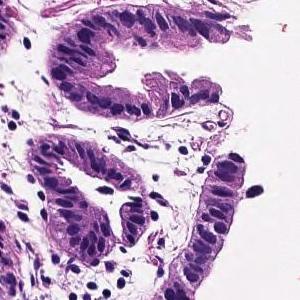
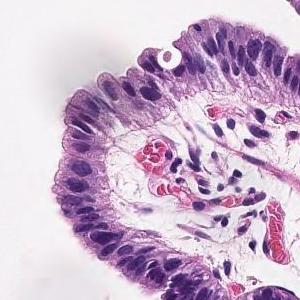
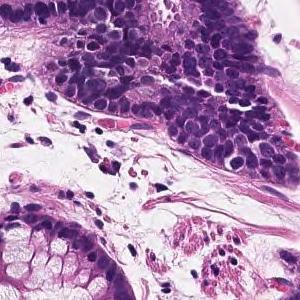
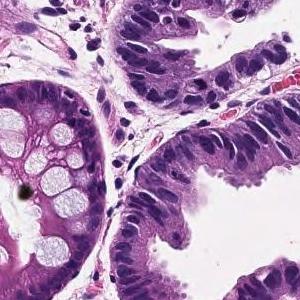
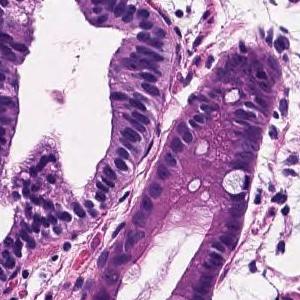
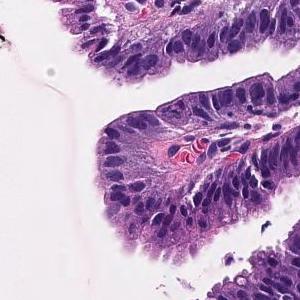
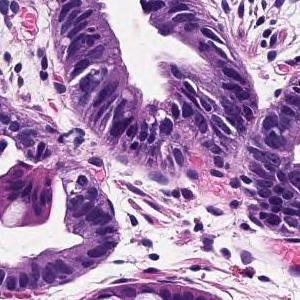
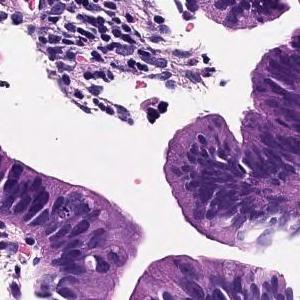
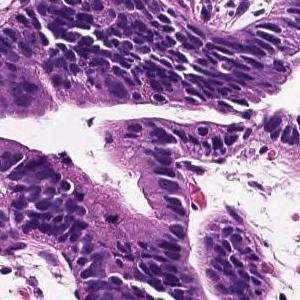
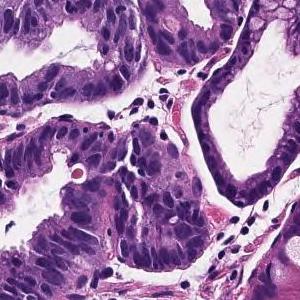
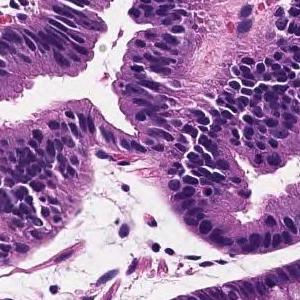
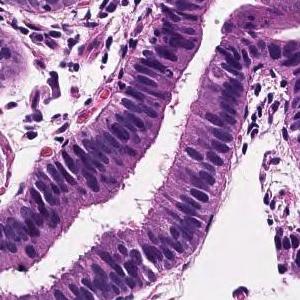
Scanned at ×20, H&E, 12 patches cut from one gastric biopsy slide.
Pathology report for the biopsy slide these tiles were cut from. The report describes the whole slide, diagnosis included: not every finding it names need appear in these tiles, which may also show non-tumor tissue.
Tumor cells are large, highly columnar, large club-shaped nuclei, and are associated with chromatin aggregation. Papillary adenocarcinoma.
